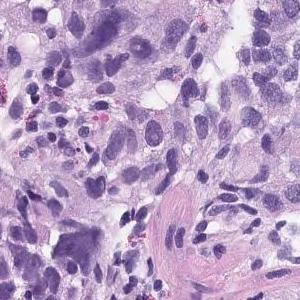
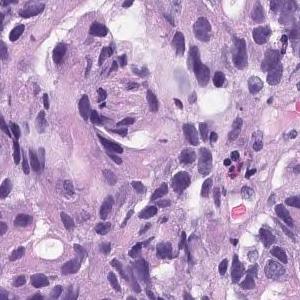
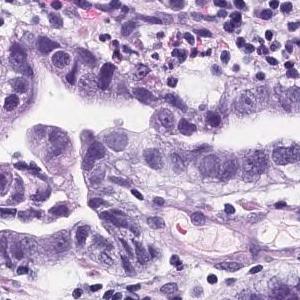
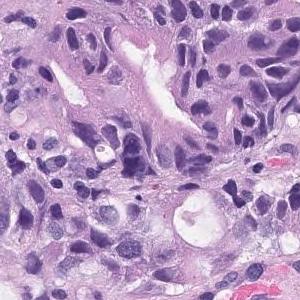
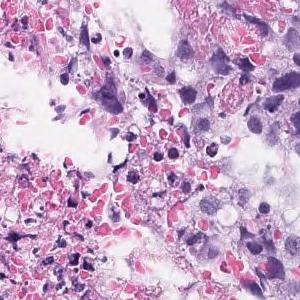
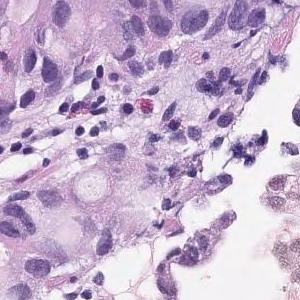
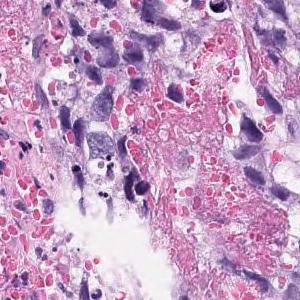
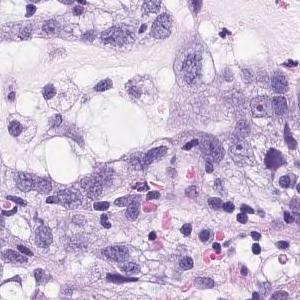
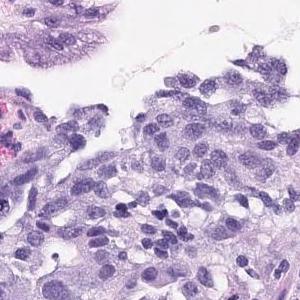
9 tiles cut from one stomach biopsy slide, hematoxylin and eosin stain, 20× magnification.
Pathology report for the biopsy slide these tiles were cut from. The findings and the diagnosis refer to the entire slide; these tiles show only part of it, possibly with non-tumor tissue, and may not show every feature named.
In the superficial epithelium, tumor tissue that invades by forming medium-sized to small, irregular ducts is observed. Moderately differentiated adenocarcinoma.
Tumor subtype: moderately differentiated tubular adenocarcinoma.
